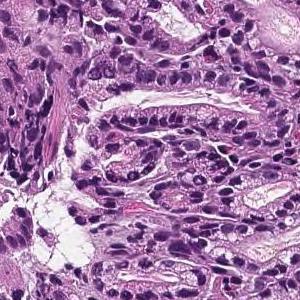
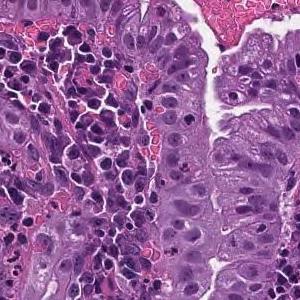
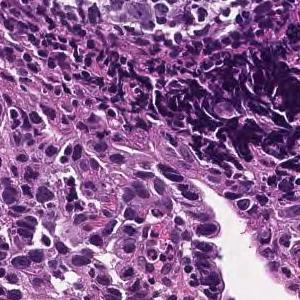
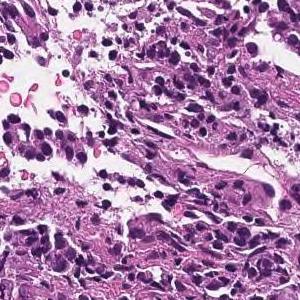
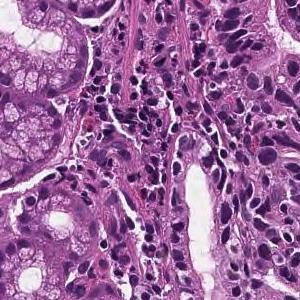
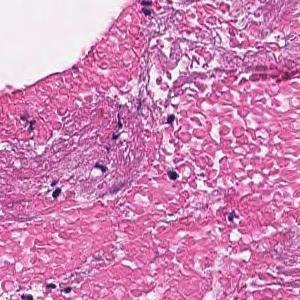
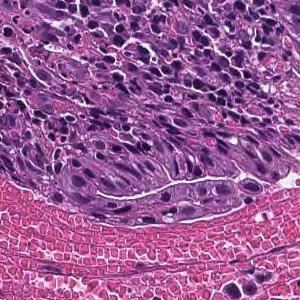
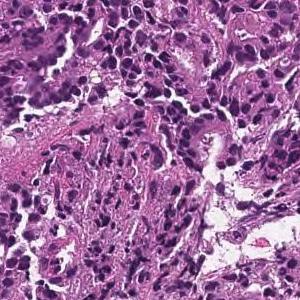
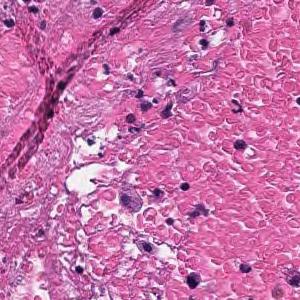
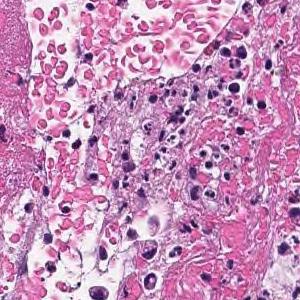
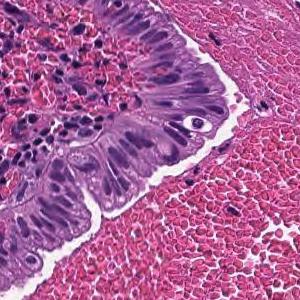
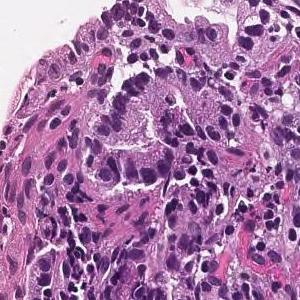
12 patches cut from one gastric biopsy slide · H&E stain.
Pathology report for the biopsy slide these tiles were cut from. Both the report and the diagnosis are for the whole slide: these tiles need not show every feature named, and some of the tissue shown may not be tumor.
On the superficial epithelium, tumor tissue that infiltrates by forming medium-sized papillary or small irregular ducts is observed. Papillary adenocarcinoma
